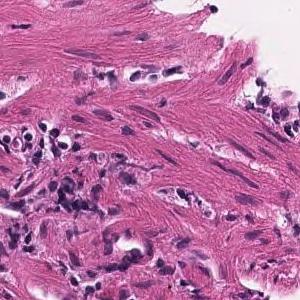
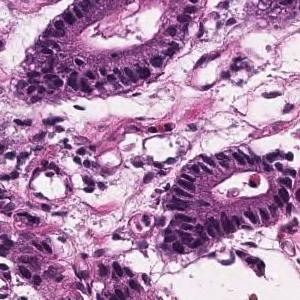
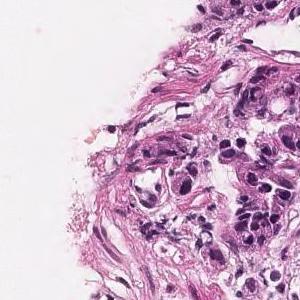
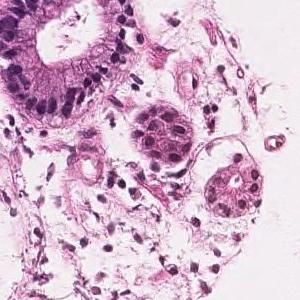
4 tiles cut from one stomach biopsy slide; 300 × 300 pixels each; H&E stain.
The pathologist's report on the biopsy slide these tiles were taken from. The report describes the whole slide, diagnosis included: not every finding it names need appear in these tiles, which may also show non-tumor tissue.
Tumor tissue with atypical epithelium showing irregular ductal or sieving ductal structure and proliferating is observed. Well to moderately differentiated tubular adenocarcinoma (well differentiated tubular adenocarcinoma-moderately differentiated tubular adenocarcinoma)
Classified as well to moderately differentiated tubular adenocarcinoma.
